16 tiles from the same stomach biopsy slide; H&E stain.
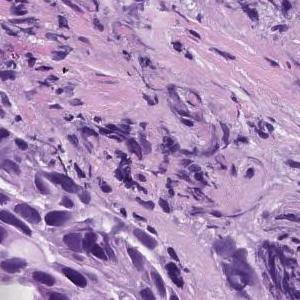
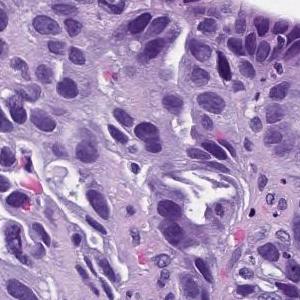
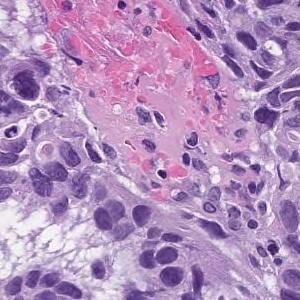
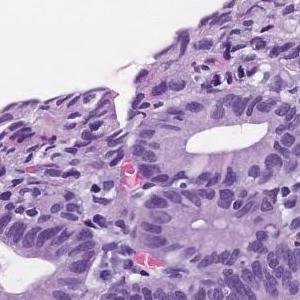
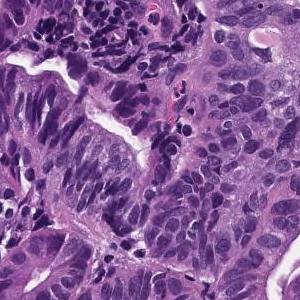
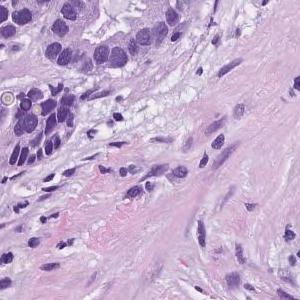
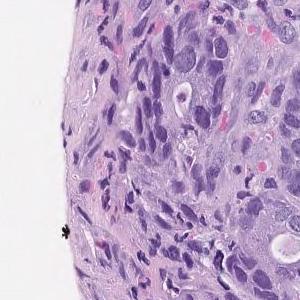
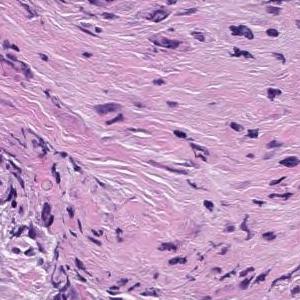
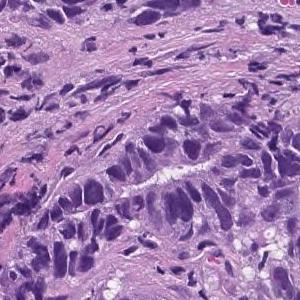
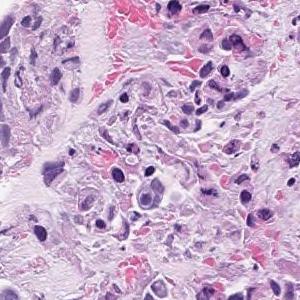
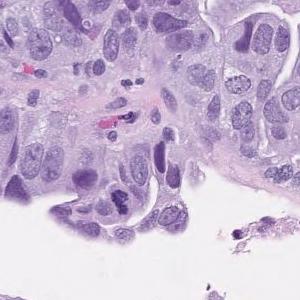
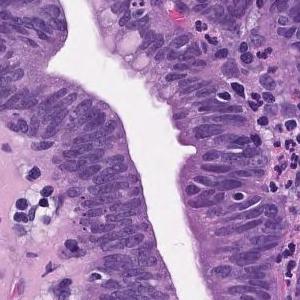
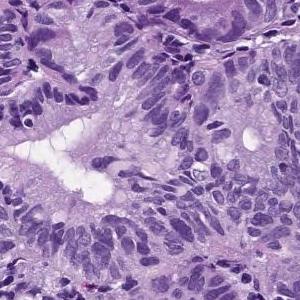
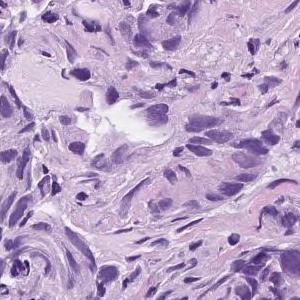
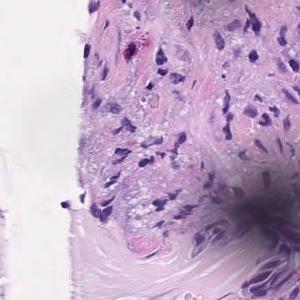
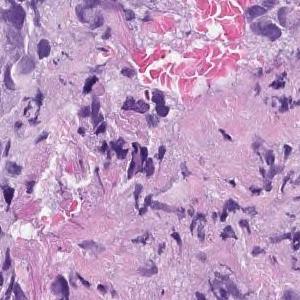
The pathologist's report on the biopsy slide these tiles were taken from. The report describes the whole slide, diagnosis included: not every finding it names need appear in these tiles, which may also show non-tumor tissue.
In the superficial epithelium, tumor tissue that invades by forming medium-sized to small, irregular ducts is observed. moderately differentiated tubular adenocarcinoma.
